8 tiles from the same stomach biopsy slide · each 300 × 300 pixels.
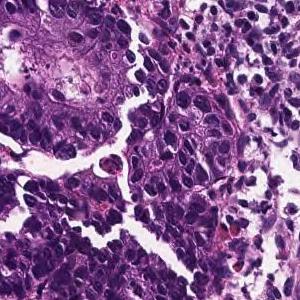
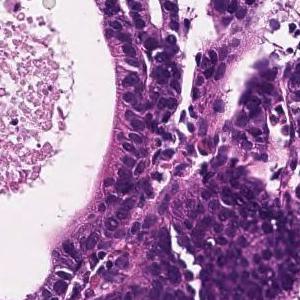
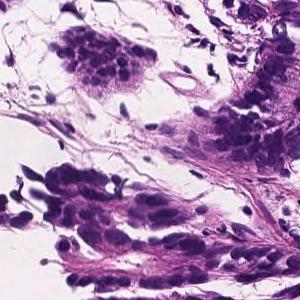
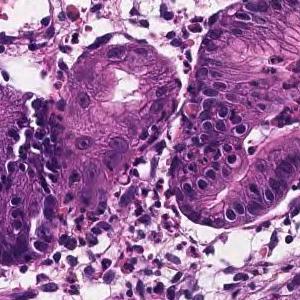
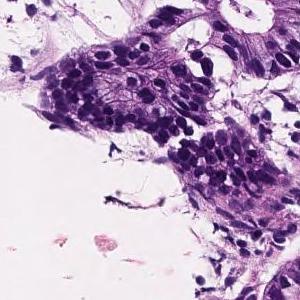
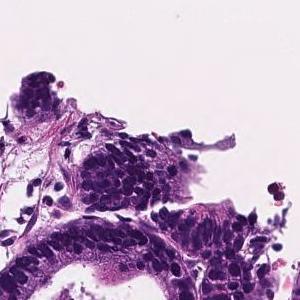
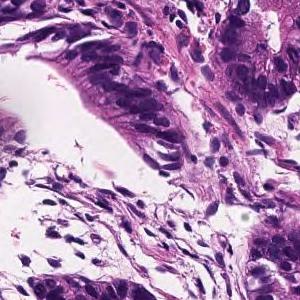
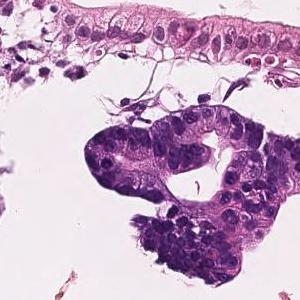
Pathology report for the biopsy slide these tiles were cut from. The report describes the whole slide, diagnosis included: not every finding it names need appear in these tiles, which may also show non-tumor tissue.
Tumor tissue that grows invasively while the short atypical epithelium forms irregular ducts is observed. Well differentiated tubular adenocarcinoma
